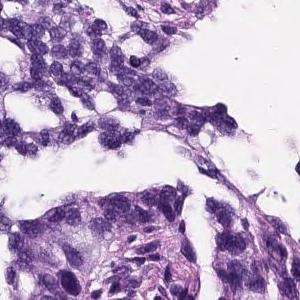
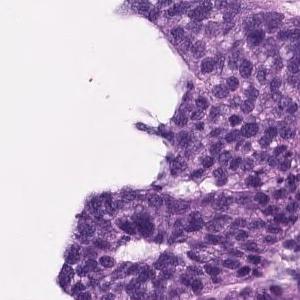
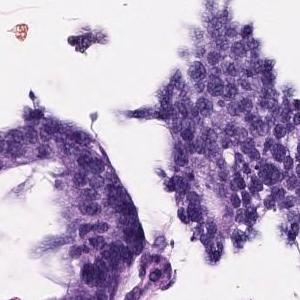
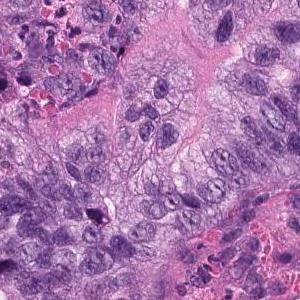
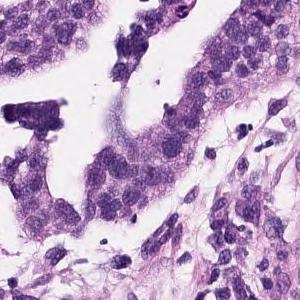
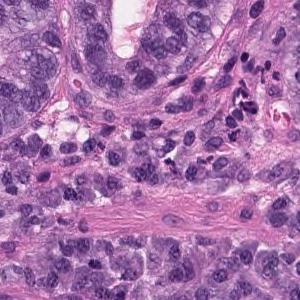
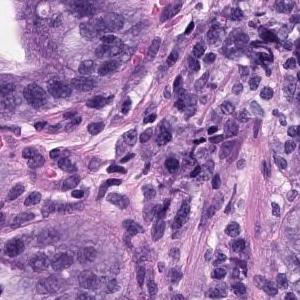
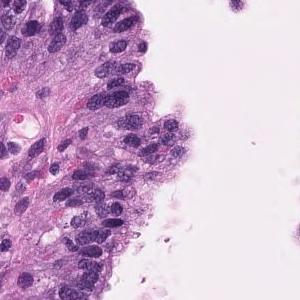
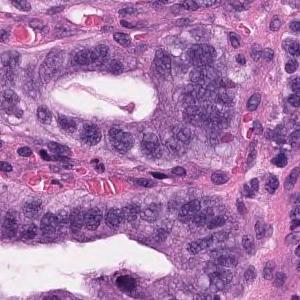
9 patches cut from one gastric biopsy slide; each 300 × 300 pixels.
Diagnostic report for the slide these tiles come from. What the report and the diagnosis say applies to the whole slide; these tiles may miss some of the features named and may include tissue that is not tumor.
Tumor cells are large, highly columnar, large club-shaped nuclei, and are associated with chromatin aggregation. Papillary adenocarcinoma.
